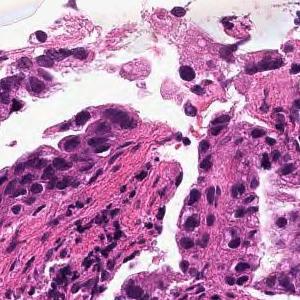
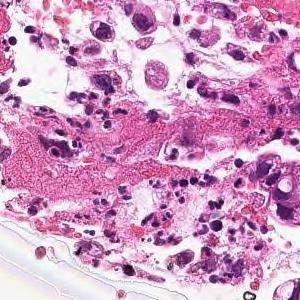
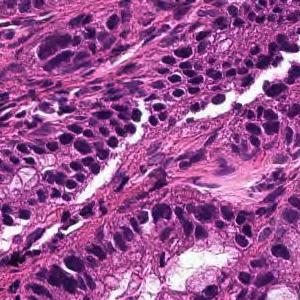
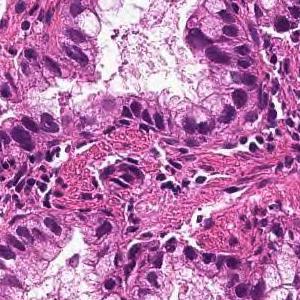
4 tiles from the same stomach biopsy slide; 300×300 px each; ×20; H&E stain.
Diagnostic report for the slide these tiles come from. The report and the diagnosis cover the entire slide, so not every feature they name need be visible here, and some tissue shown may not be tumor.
From the superficial epithelium to the muscularis mucosae, tumor tissue infiltrating by forming medium-sized irregular gland ducts is observed. Well differentiated tubular adenocarcinoma
